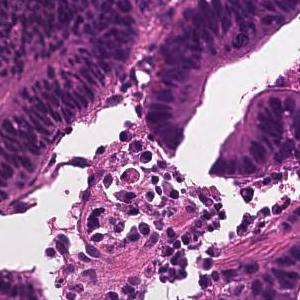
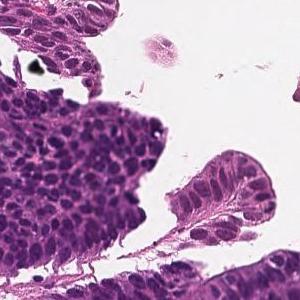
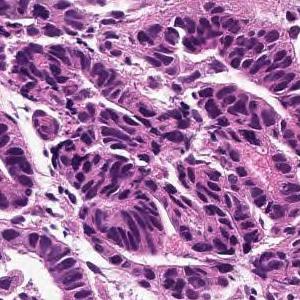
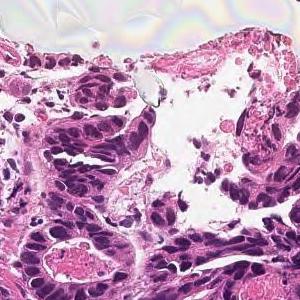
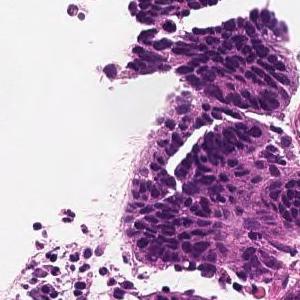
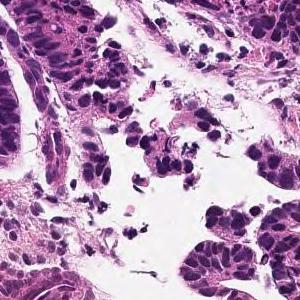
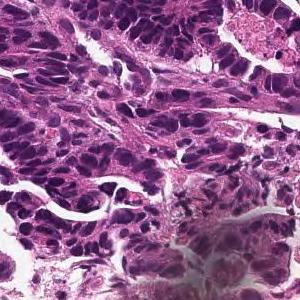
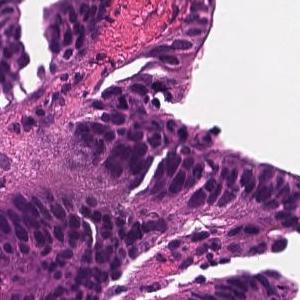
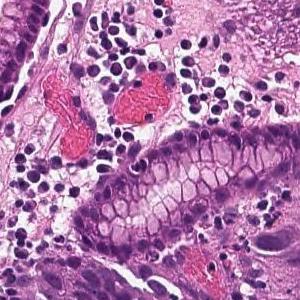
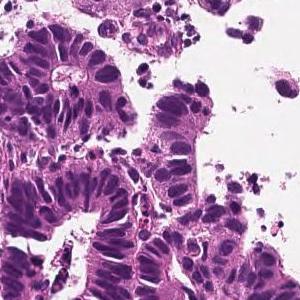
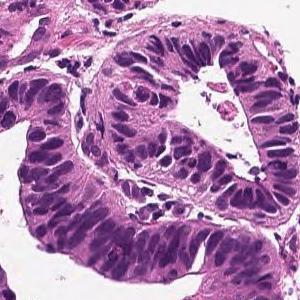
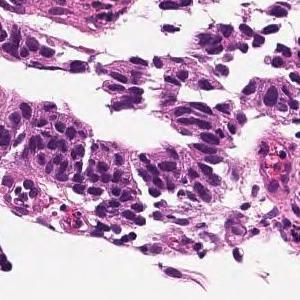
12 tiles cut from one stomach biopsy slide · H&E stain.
The pathologist's report on the biopsy slide these tiles were taken from. The findings and the diagnosis refer to the entire slide; these tiles show only part of it, possibly with non-tumor tissue, and may not show every feature named.
From the superficial epithelium to the muscularis mucosae, tumor tissue consisting of medium-sized and irregular glandular ducts infiltrating is observed. Well differentiated tubular adenocarcinoma
